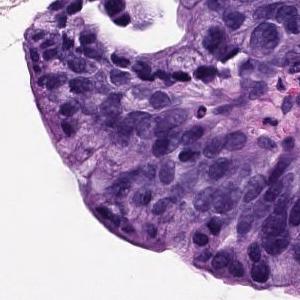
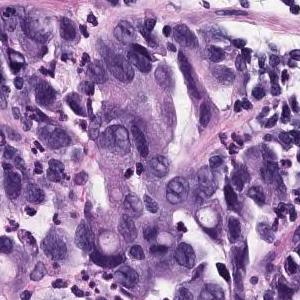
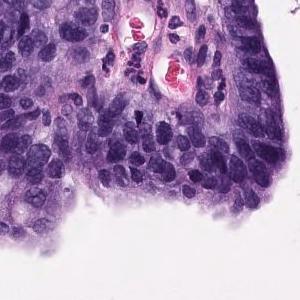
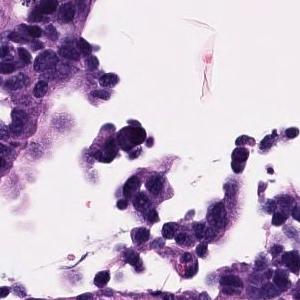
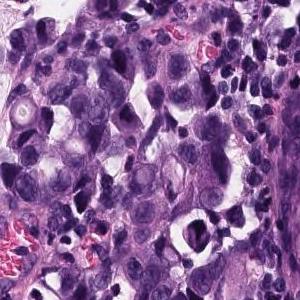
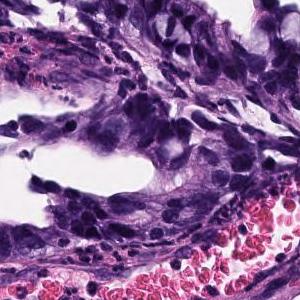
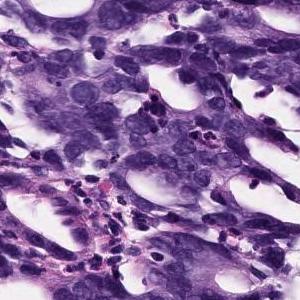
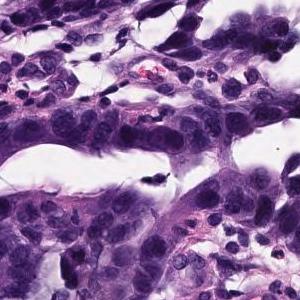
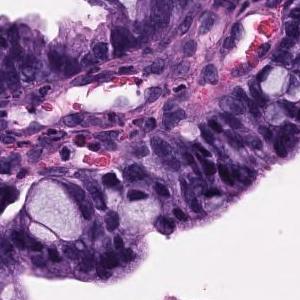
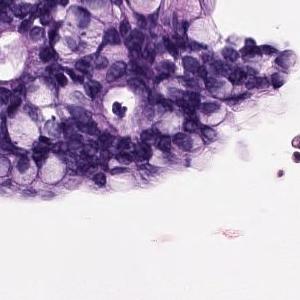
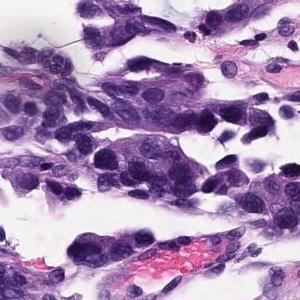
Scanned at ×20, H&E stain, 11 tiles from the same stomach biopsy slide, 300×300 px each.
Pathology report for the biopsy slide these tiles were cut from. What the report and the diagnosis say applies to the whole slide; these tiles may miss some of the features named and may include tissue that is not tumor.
Atypical epithelium proliferating showing villus construction and irregular gland duct construction is observed. Moderately differentiated tubular adenocarcinoma.
